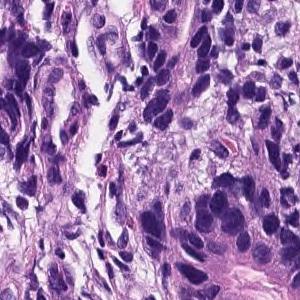
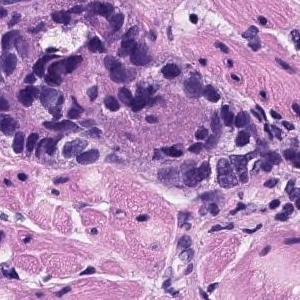
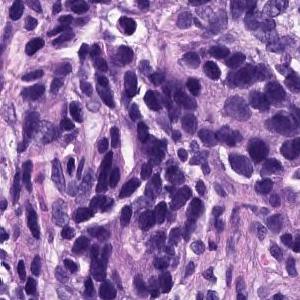
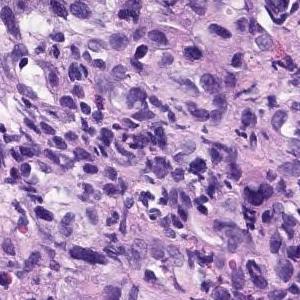
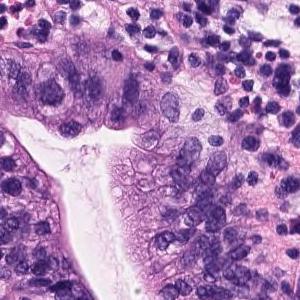
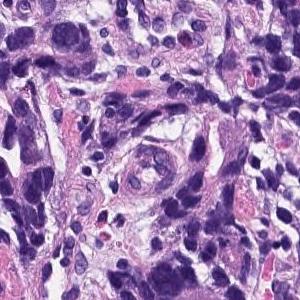
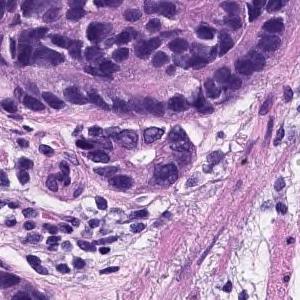
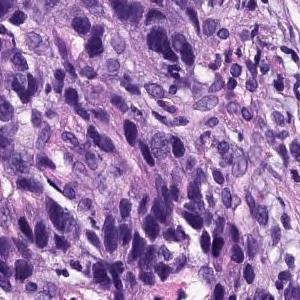
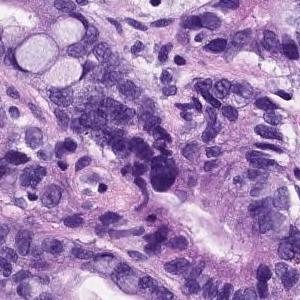
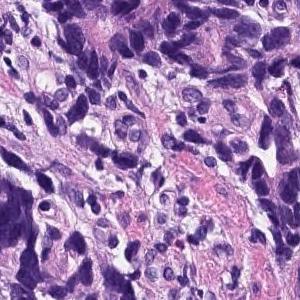
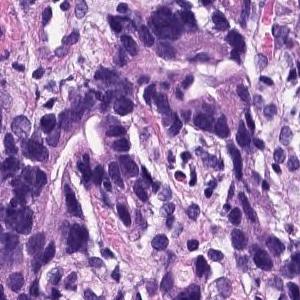
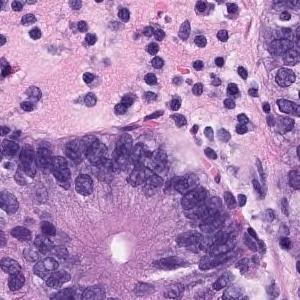
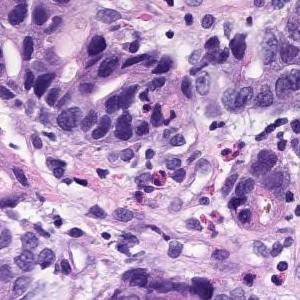
×20 · 13 tiles from the same stomach biopsy slide · each 300 × 300 pixels.
Pathology report for the slide these tiles were cut from. The report describes the whole slide, diagnosis included: not every finding it names need appear in these tiles, which may also show non-tumor tissue.
On the superficial epithelium, tumor tissue consisting of images showing invasive growth with small, irregular tubules partially fused is observed. moderately differentiated tubular adenocarcinoma
